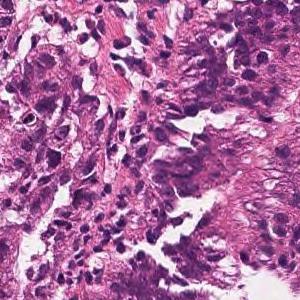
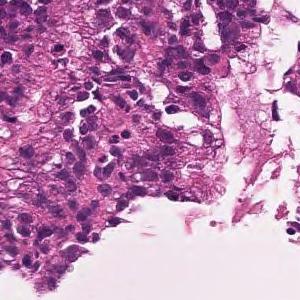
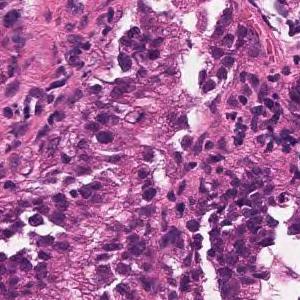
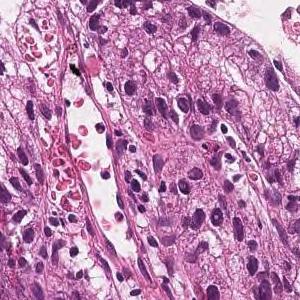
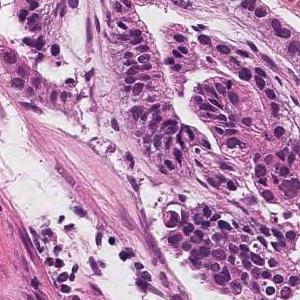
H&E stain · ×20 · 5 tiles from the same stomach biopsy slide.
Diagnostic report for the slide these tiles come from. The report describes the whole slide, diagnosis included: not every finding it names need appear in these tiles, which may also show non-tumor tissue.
On the superficial epithelium, tumor tissue consisting of large, irregular glandular ducts partially fused and infiltrated is observed. Well to moderately differentiated tubular adenocarcinoma (well differentiated tubular adenocarcinoma, moderately differentiated tubular adenocarcinoma)
Histological subtype: Well to moderately differentiated tubular adenocarcinoma.
